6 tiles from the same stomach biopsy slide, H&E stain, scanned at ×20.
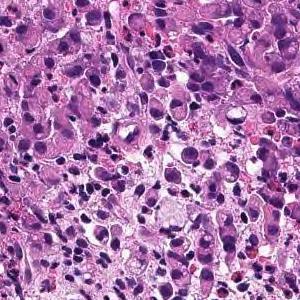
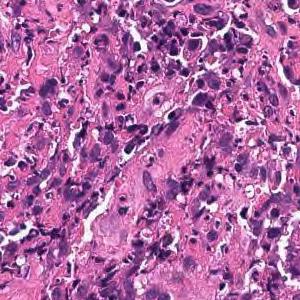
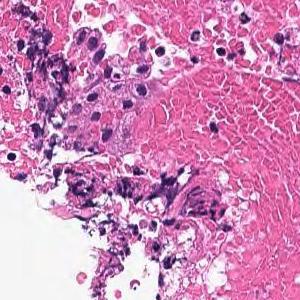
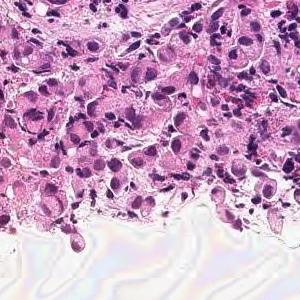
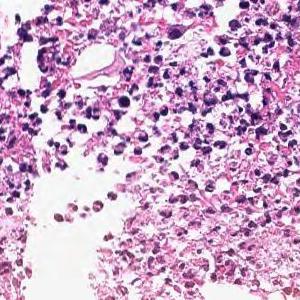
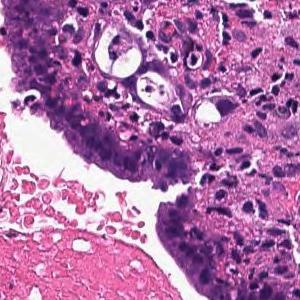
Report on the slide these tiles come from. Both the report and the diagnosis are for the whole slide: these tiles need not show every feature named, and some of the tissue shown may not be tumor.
Tumor tissue consisting of diffusely infiltrated large atypical epithelial cells or signet ring atypical cells is observed in the superficial epithelium. Poorly differentiated adenocarcinoma, solid-type
Histologic type: Poorly differentiated adenocarcinoma, solid type, a category of the Japanese Classification of Gastric Carcinoma; in the WHO 2019 classification it is tubular adenocarcinoma, poorly differentiated.
